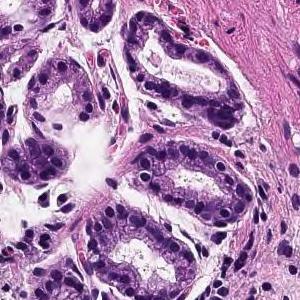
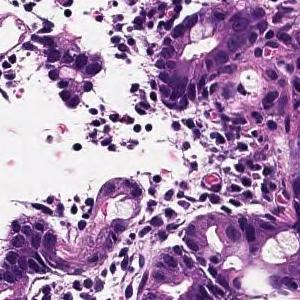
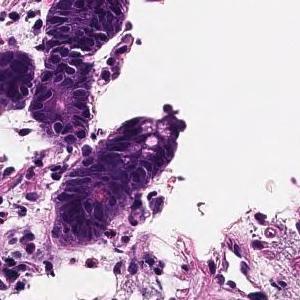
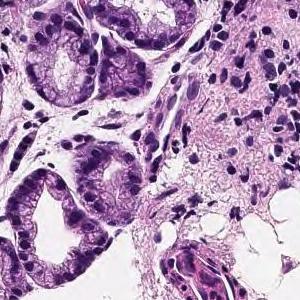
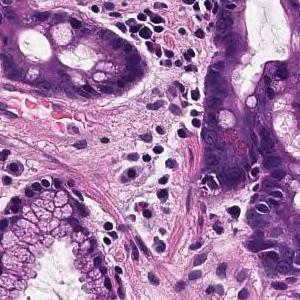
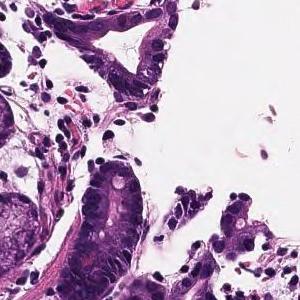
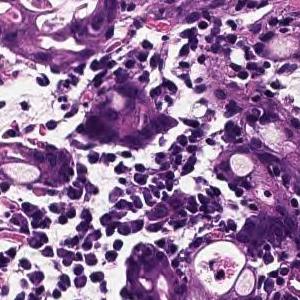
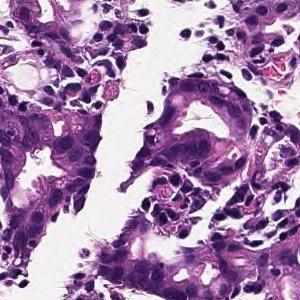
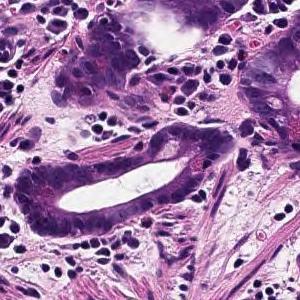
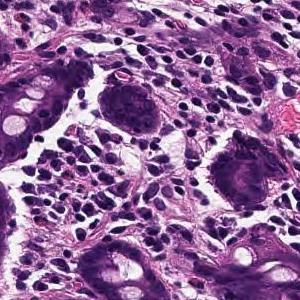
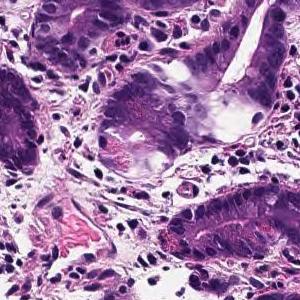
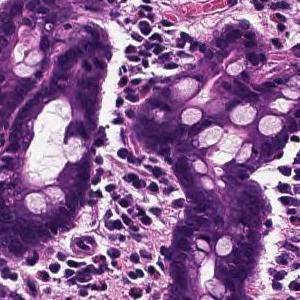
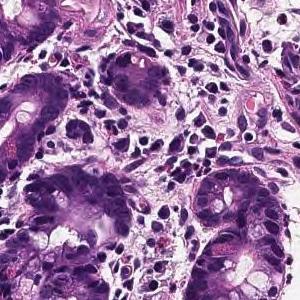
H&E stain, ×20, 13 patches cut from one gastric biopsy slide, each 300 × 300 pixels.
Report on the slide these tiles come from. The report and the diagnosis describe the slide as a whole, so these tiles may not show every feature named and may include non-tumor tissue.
In the superficial epithelium, tumor tissue that invades by forming medium-sized to small, irregular ducts is observed. moderately differentiated tubular adenocarcinoma.
